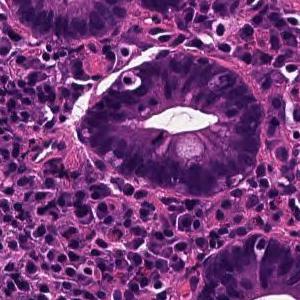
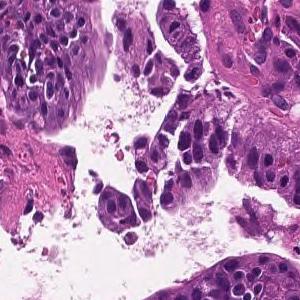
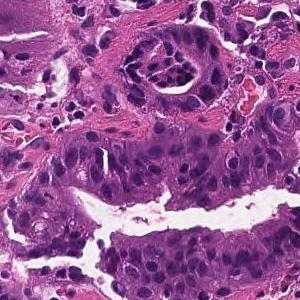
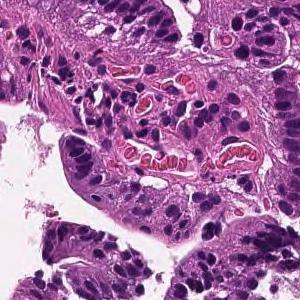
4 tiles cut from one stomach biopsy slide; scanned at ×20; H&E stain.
Pathology report for the slide these tiles were cut from. Both the report and the diagnosis are for the whole slide: these tiles need not show every feature named, and some of the tissue shown may not be tumor.
On the superficial epithelium, tumor tissue that infiltrates by forming medium-sized papillary or small irregular ducts is observed. Papillary adenocarcinoma
